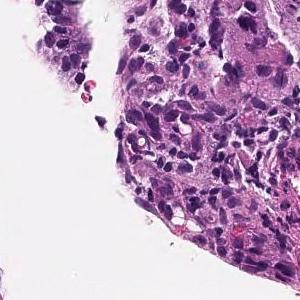
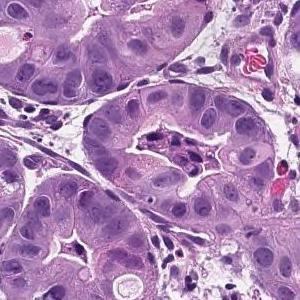
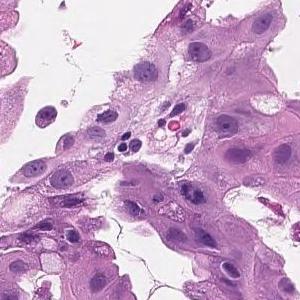
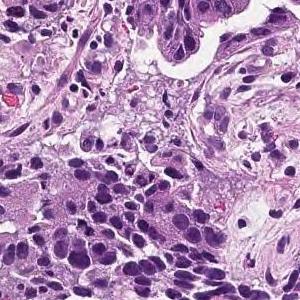
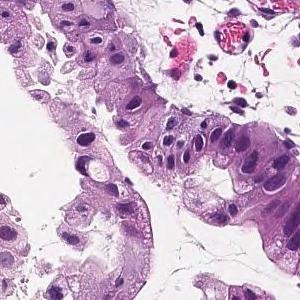
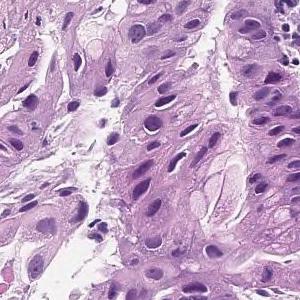
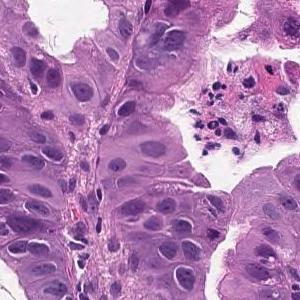
H&E stain; 20× magnification; 7 tiles cut from one stomach biopsy slide.
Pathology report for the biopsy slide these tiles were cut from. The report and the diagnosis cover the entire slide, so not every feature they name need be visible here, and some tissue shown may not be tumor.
On the superficial epithelium, tumor tissue that infiltrates by forming medium-sized papillary or small irregular ducts is observed. Papillary adenocarcinoma
